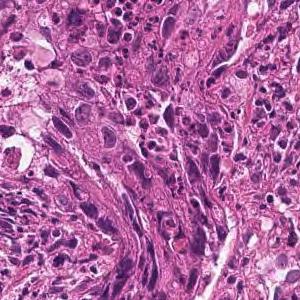
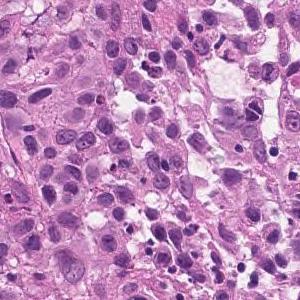
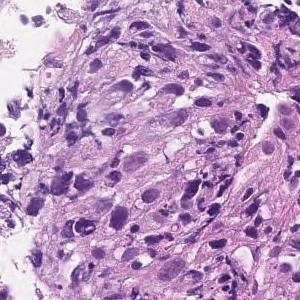
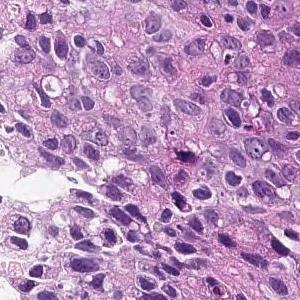
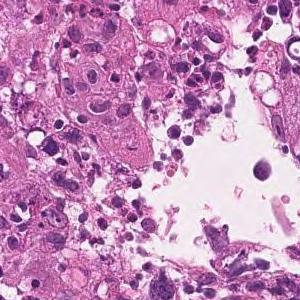
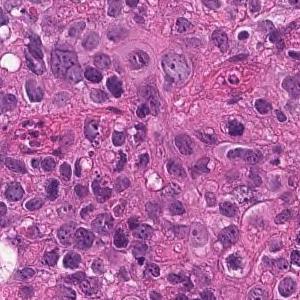
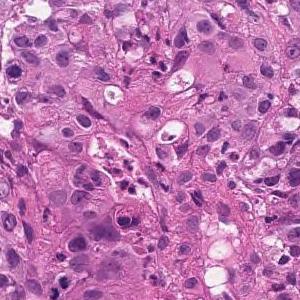
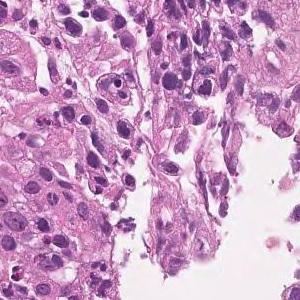
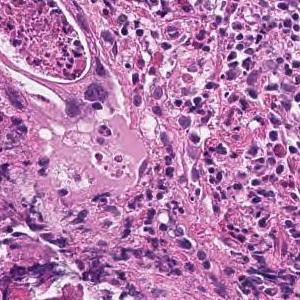
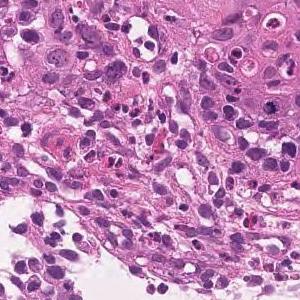
H&E · 10 tiles from the same stomach biopsy slide · 300 × 300 pixels each.
The pathologist's report on the biopsy slide these tiles were taken from. What the report and the diagnosis say applies to the whole slide; these tiles may miss some of the features named and may include tissue that is not tumor.
The superficial epithelium shows a large sheet-like shape, and some tumor tissue infiltrates with small irregular ducts. Poorly differentiated adenocarcinoma, solid-type
Classified as poorly differentiated adenocarcinoma, solid type. This name comes from the Japanese Classification of Gastric Carcinoma; the WHO 2019 classification calls it tubular adenocarcinoma, poorly differentiated.
